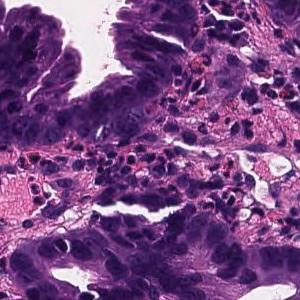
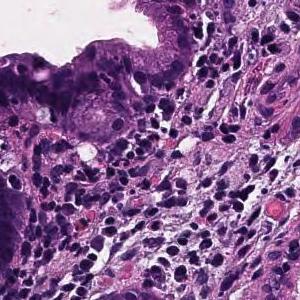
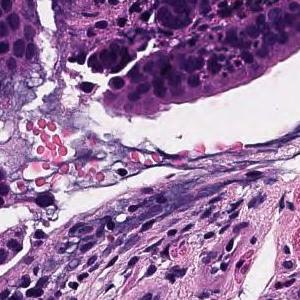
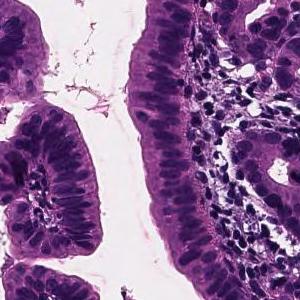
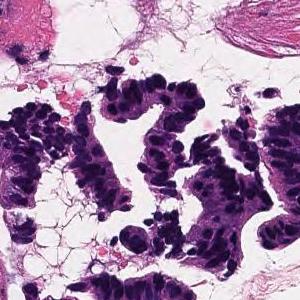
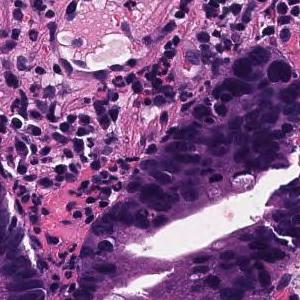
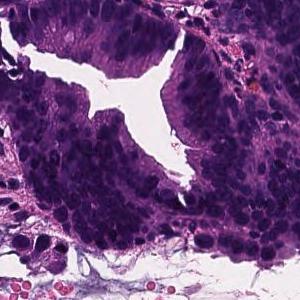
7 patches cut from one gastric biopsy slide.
Pathology report for the biopsy slide these tiles were cut from. The report and the diagnosis describe the slide as a whole, so these tiles may not show every feature named and may include non-tumor tissue.
Tumor cells are large, highly columnar, large club-shaped nuclei, and are associated with chromatin aggregation. Papillary adenocarcinoma.
